H&E stain · 7 tiles cut from one stomach biopsy slide · 300 × 300 pixels each.
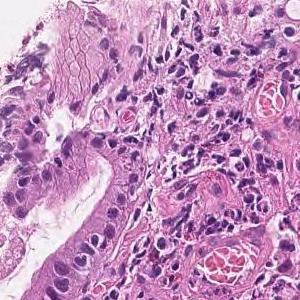
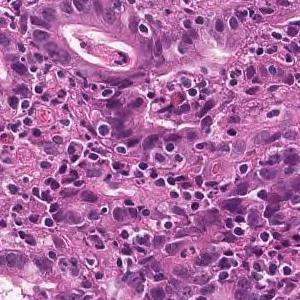
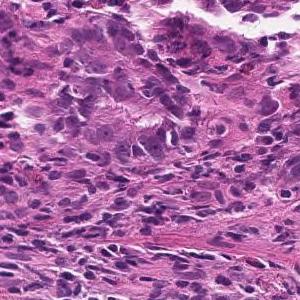
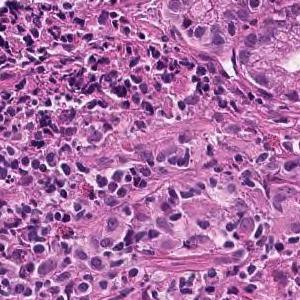
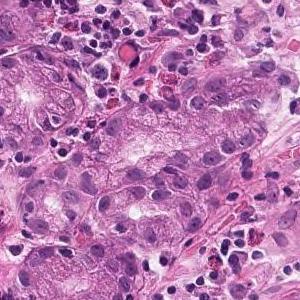
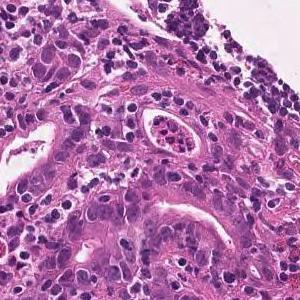
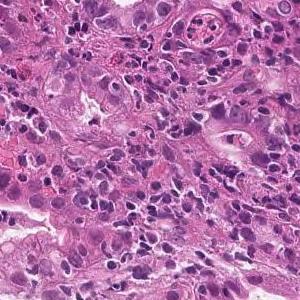
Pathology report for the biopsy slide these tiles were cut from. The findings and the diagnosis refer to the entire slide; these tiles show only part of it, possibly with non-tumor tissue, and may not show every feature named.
Tumor tissue consisting of medium-sized, cord-like or irregular glandular infiltration is observed in the superficial epithelium. Poorly differentiated adenocarcinoma, non-solid type or moderately differentiated tubular adenocarcinoma
Labeled in the dataset as poorly differentiated adenocarcinoma, non-solid type.
The non-solid type named here is a Japanese Classification of Gastric Carcinoma category.
